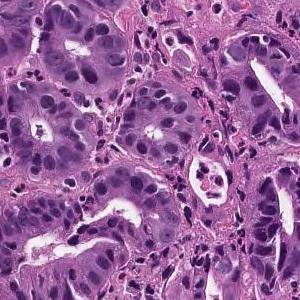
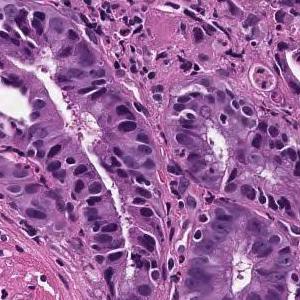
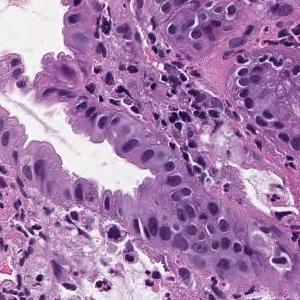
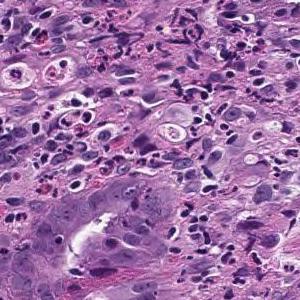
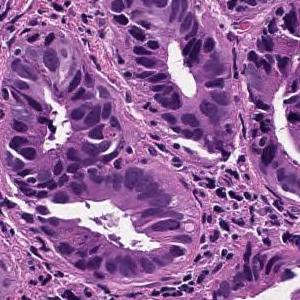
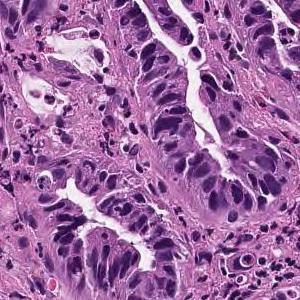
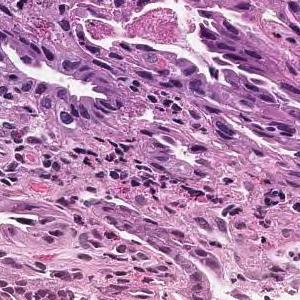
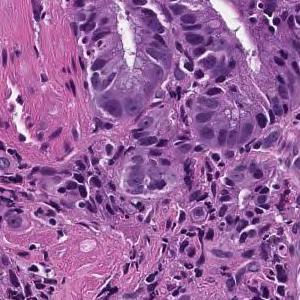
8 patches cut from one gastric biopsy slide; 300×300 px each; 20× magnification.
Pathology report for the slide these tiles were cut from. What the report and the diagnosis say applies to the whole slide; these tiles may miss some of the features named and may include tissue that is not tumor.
On the superficial epithelium, tumor tissue consisting of large, irregular glandular ducts partially fused and infiltrated is observed. Well to moderately differentiated tubular adenocarcinoma (well differentiated tubular adenocarcinoma, moderately differentiated tubular adenocarcinoma)
Subtype: Well to moderately differentiated tubular adenocarcinoma.
